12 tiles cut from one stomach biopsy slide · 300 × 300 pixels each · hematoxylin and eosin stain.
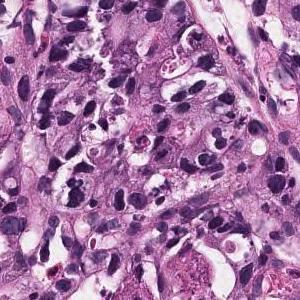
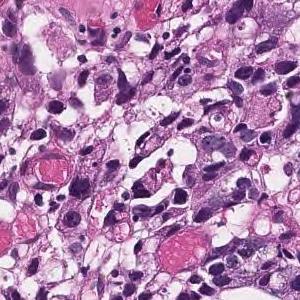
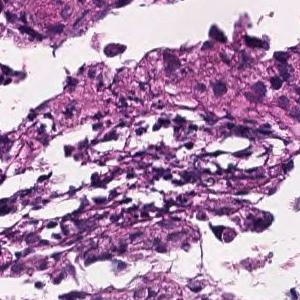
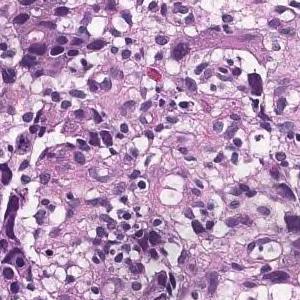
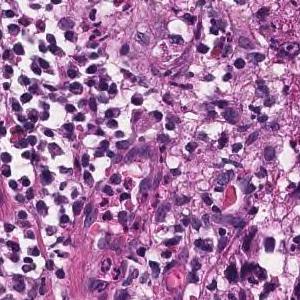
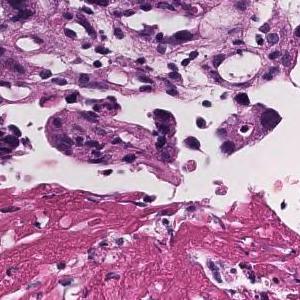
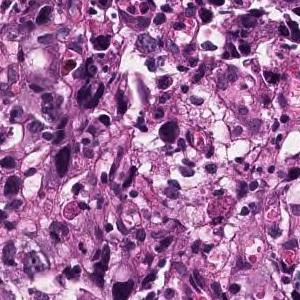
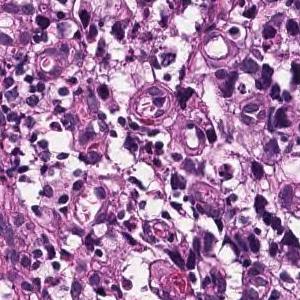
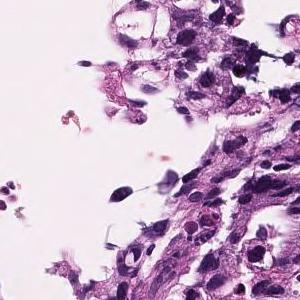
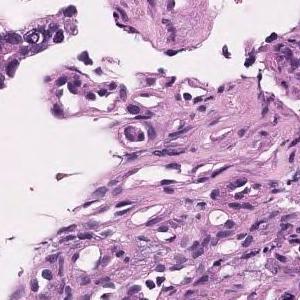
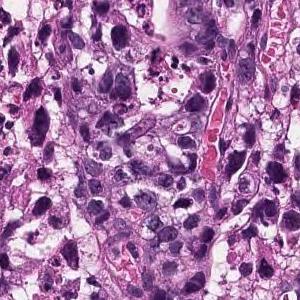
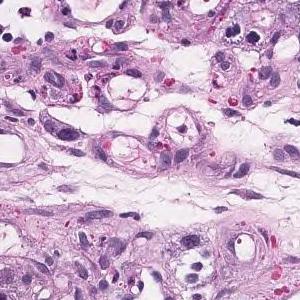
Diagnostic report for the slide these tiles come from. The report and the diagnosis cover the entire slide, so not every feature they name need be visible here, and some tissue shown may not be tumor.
Tumor tissue consisting of medium-sized, cord-like or irregular glandular infiltration is observed in the superficial epithelium. Poorly differentiated adenocarcinoma, non-solid type or moderately differentiated tubular adenocarcinoma
"Non-solid type" is a category of the Japanese Classification of Gastric Carcinoma.
